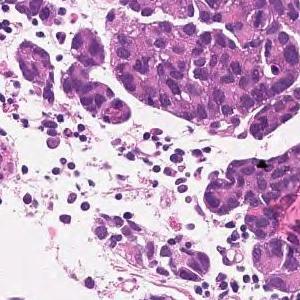
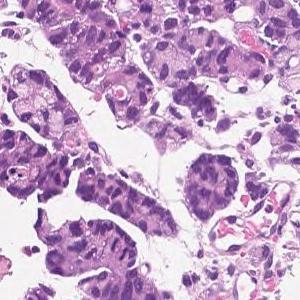
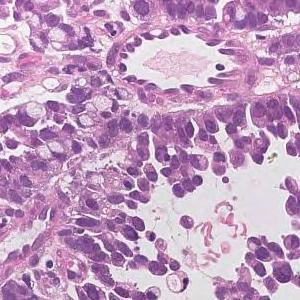
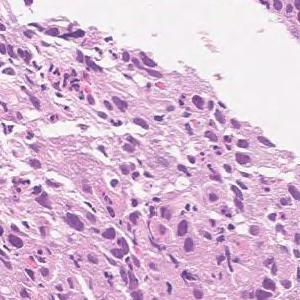
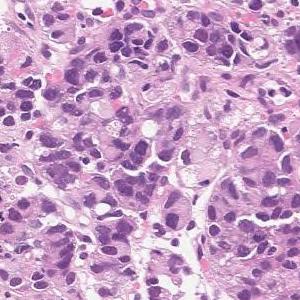
5 image tiles from a single gastric biopsy slide; hematoxylin and eosin stain.
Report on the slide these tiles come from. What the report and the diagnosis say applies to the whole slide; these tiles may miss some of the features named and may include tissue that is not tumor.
Medium to small, irregular glandular ducts are formed in the superficial epithelium, and in some cases, the glandular ducts are fused to show solid alveolar lesions and infiltrating tumor tissue is observed. Moderately to poorly differentiated adenocarcinoma.
